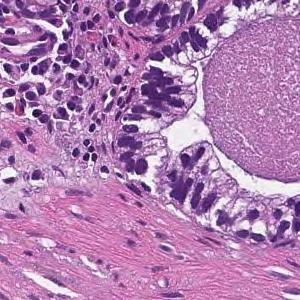
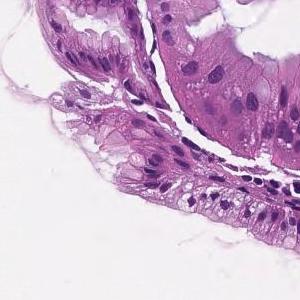
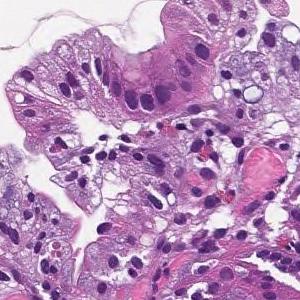
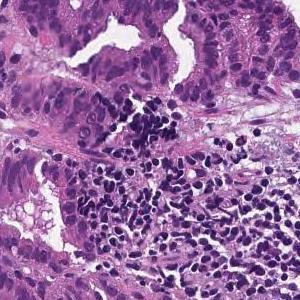
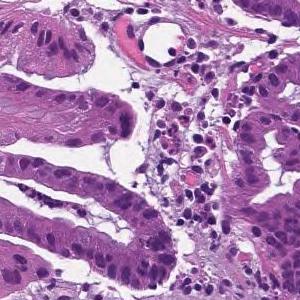
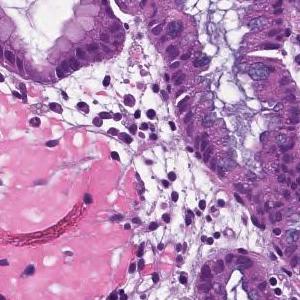
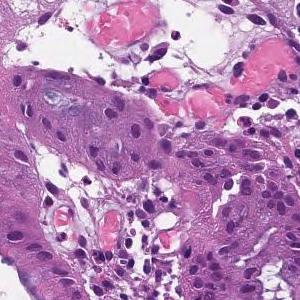
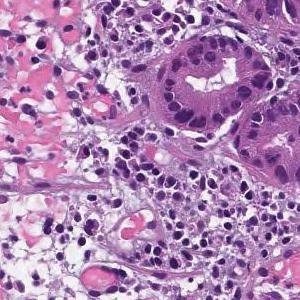
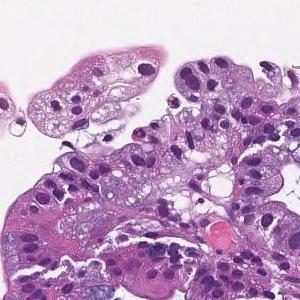
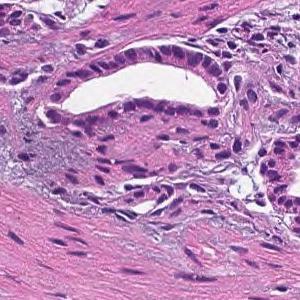
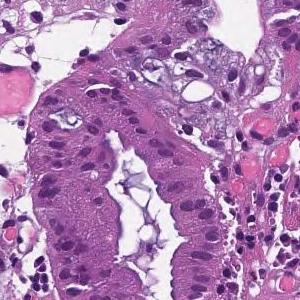
11 tiles cut from one stomach biopsy slide · 300×300 px each · hematoxylin and eosin stain · 20× magnification.
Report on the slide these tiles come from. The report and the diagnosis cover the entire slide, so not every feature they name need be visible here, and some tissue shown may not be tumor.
From the superficial epithelium to the muscularis mucosae, tumor tissue consisting of medium-sized and irregular glandular ducts infiltrating is observed. Well differentiated tubular adenocarcinoma
